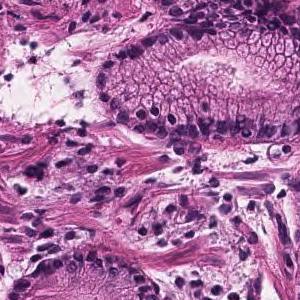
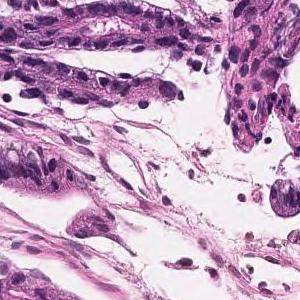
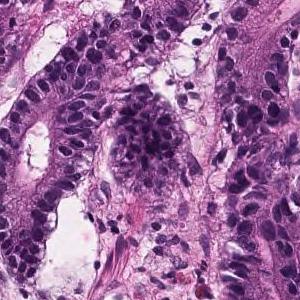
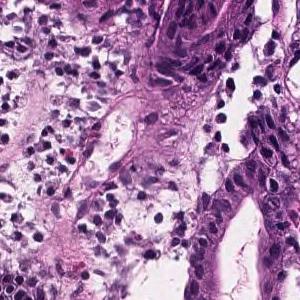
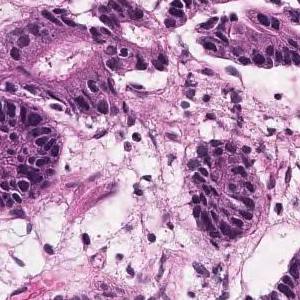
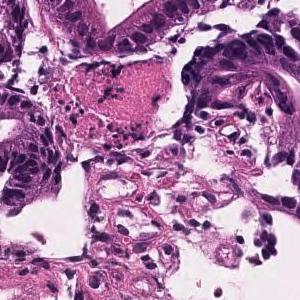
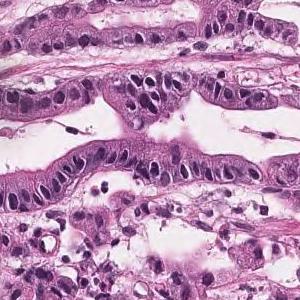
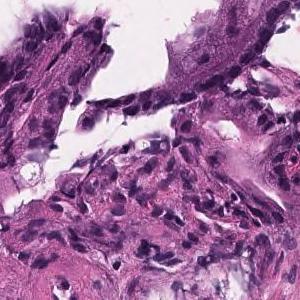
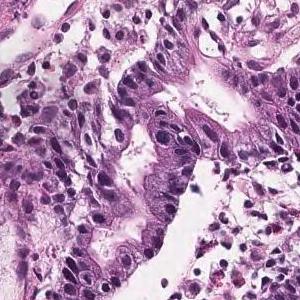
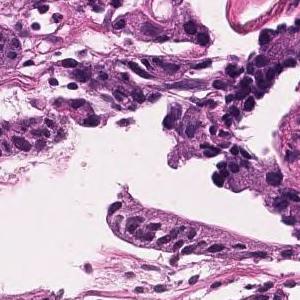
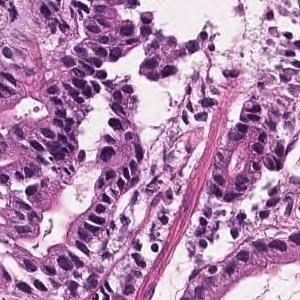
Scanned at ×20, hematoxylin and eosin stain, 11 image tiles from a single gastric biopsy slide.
Pathology report for the biopsy slide these tiles were cut from. The report describes the whole slide, diagnosis included: not every finding it names need appear in these tiles, which may also show non-tumor tissue.
Tumor tissue with atypical epithelium showing irregular ductal or sieving ductal structure and proliferating is observed. Well to moderately differentiated tubular adenocarcinoma (well differentiated tubular adenocarcinoma-moderately differentiated tubular adenocarcinoma)
Classified as well to moderately differentiated tubular adenocarcinoma.
